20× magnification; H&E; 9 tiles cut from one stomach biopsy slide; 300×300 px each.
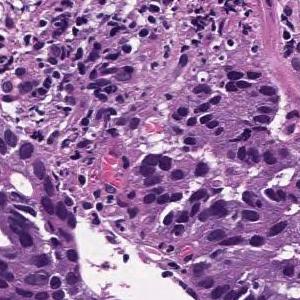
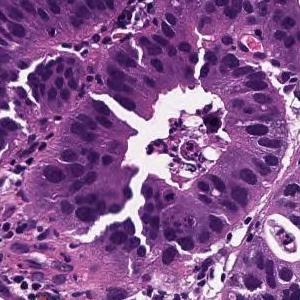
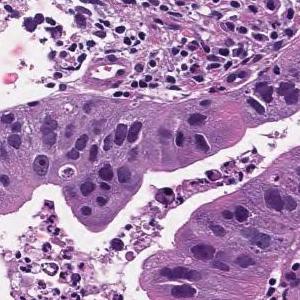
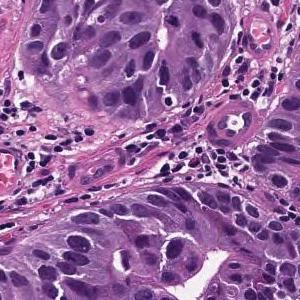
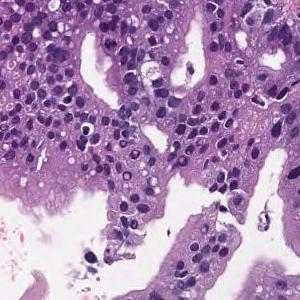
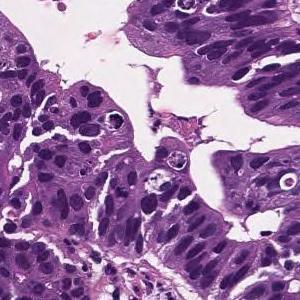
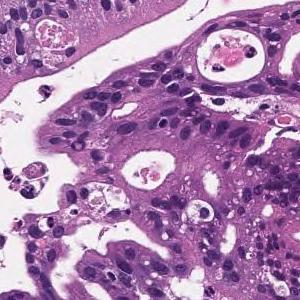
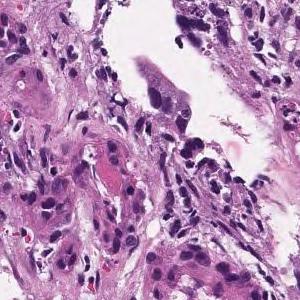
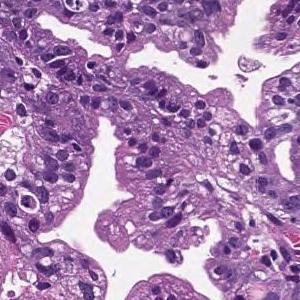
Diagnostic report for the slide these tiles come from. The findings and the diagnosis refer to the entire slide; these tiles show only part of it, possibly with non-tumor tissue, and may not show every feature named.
Tumor cells are large, highly columnar, large club-shaped nuclei, and are associated with chromatin aggregation. Papillary adenocarcinoma.
